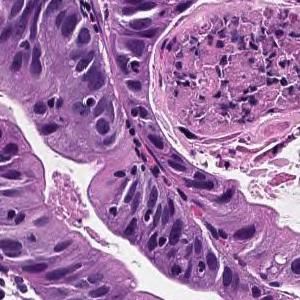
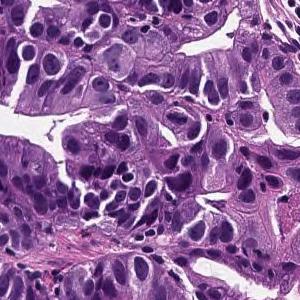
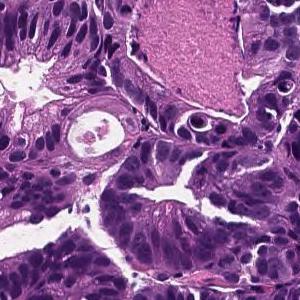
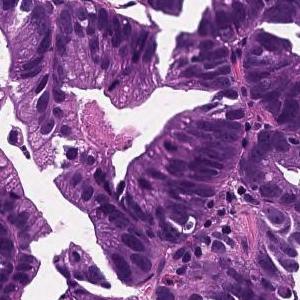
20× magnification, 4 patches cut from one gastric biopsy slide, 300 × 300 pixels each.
Diagnostic report for the slide these tiles come from. The report describes the whole slide, diagnosis included: not every finding it names need appear in these tiles, which may also show non-tumor tissue.
Tumor cells are large, highly columnar, large club-shaped nuclei, and are associated with chromatin aggregation. Papillary adenocarcinoma.
